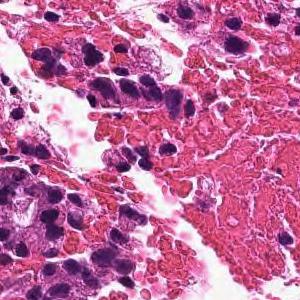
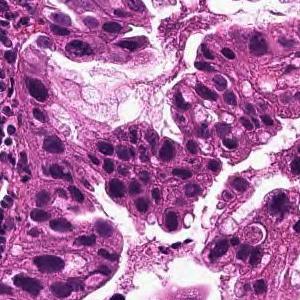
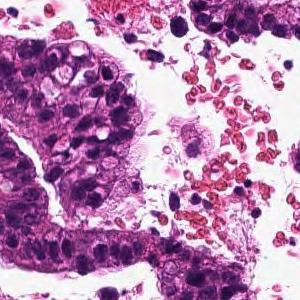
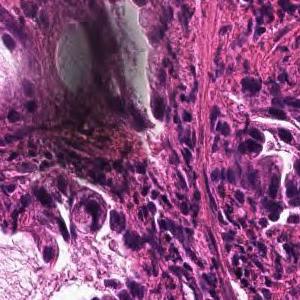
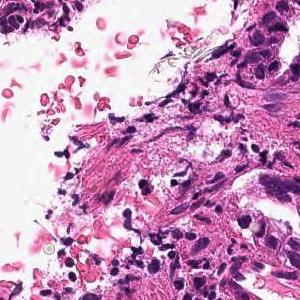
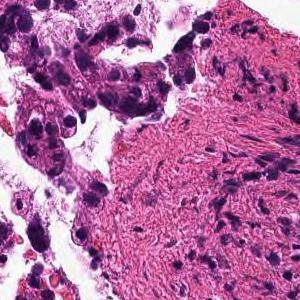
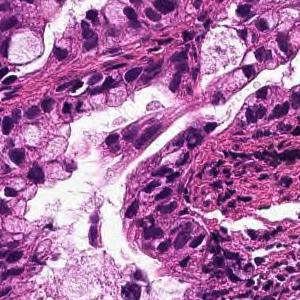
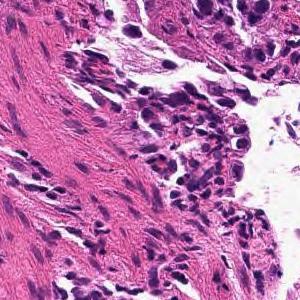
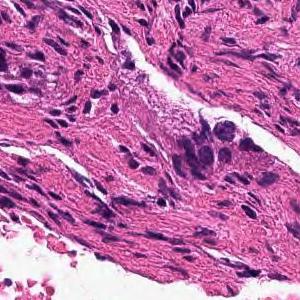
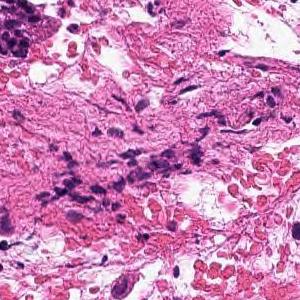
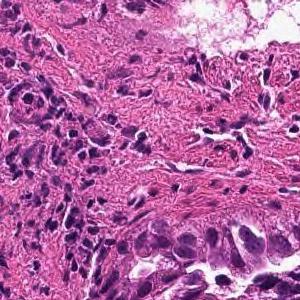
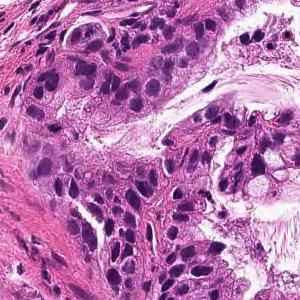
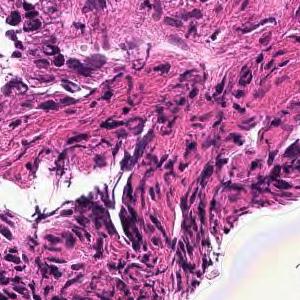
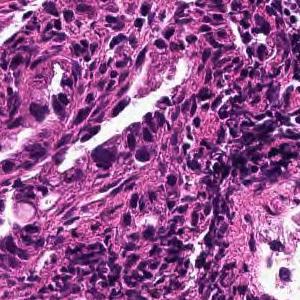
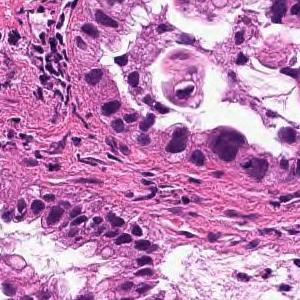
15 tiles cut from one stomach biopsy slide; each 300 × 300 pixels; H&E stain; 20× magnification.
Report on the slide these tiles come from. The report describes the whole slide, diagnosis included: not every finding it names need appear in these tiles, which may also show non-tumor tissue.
From the superficial epithelium to the muscularis mucosae, tumor tissue infiltrating by forming medium-sized irregular gland ducts is observed. Well differentiated tubular adenocarcinoma
